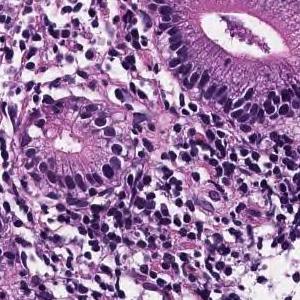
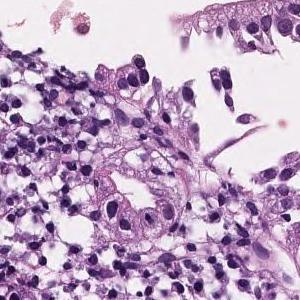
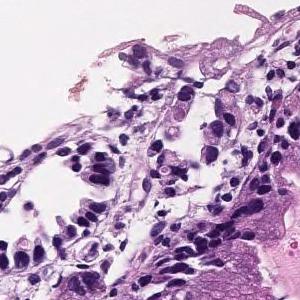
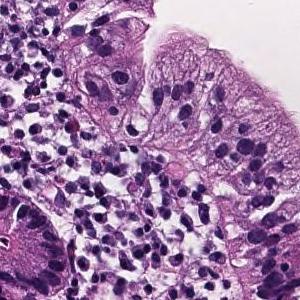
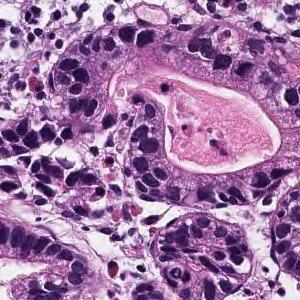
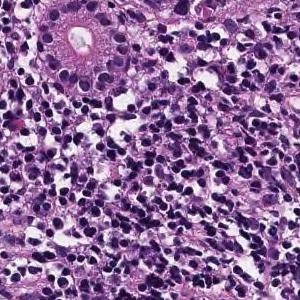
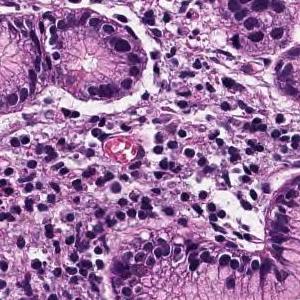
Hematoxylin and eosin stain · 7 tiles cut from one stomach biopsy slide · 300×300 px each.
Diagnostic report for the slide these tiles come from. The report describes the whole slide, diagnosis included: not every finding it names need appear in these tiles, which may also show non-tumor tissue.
From the superficial epithelium to the muscularis mucosae, tumor tissue consisting of medium-sized and irregular glandular ducts infiltrating is observed. Well differentiated tubular adenocarcinoma
